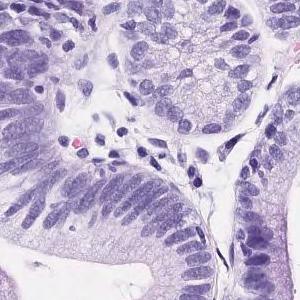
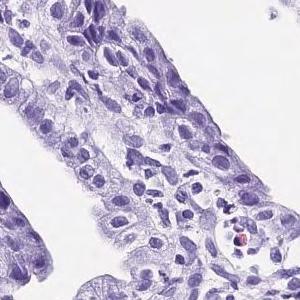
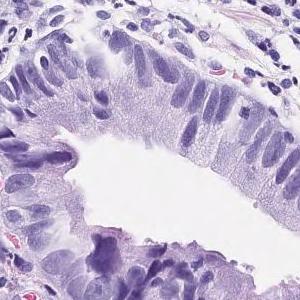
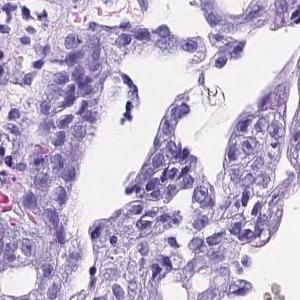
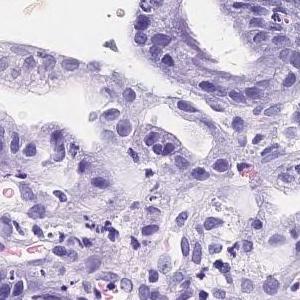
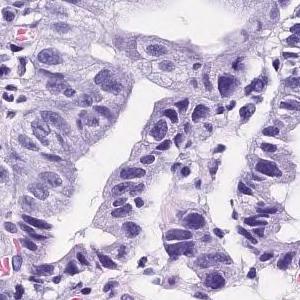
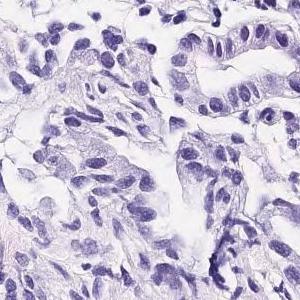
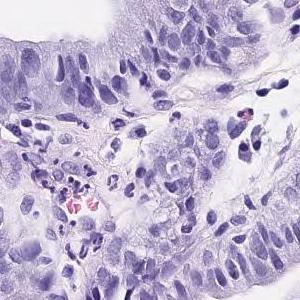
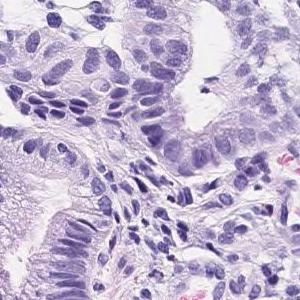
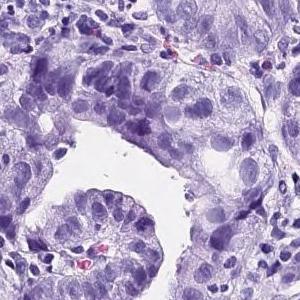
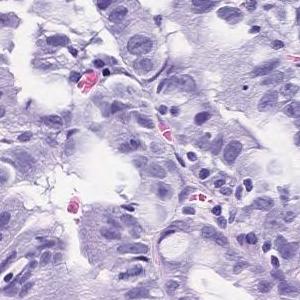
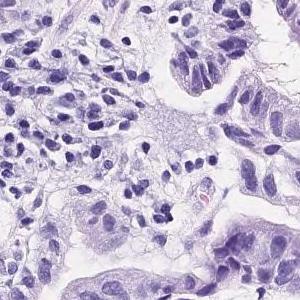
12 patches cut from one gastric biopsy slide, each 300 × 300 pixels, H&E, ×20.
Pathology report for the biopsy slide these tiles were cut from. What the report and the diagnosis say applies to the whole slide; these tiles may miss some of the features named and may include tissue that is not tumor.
Tumor tissue consisting of medium-sized and irregular ducts is observed infiltrating in the superficial epithelium. Tumor cells are highly columnar, with nuclei aligned basolaterally and polarized. Well differentiated tubular adenocarcinoma.
